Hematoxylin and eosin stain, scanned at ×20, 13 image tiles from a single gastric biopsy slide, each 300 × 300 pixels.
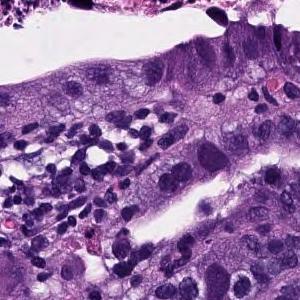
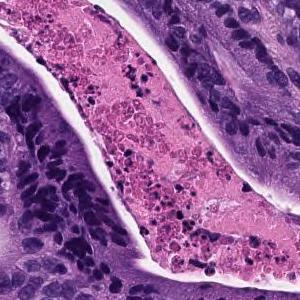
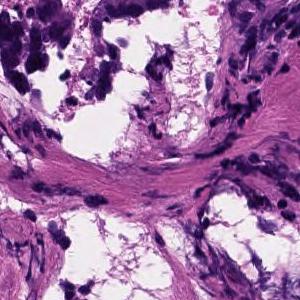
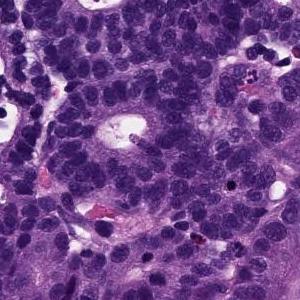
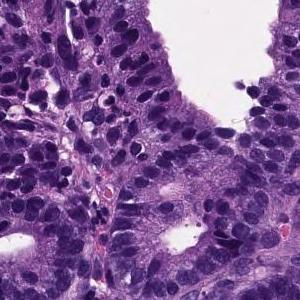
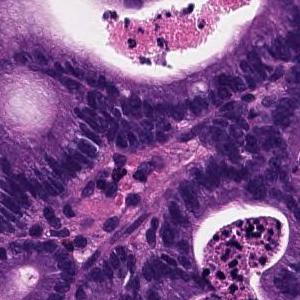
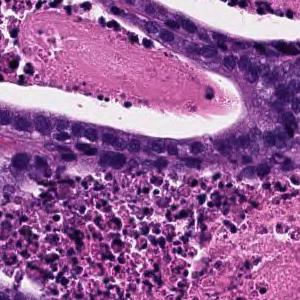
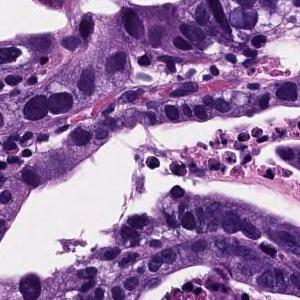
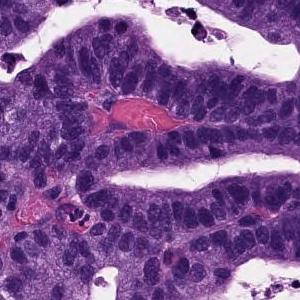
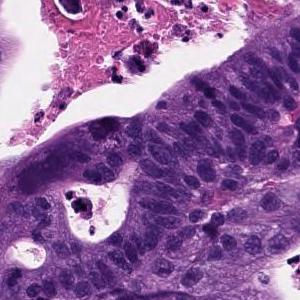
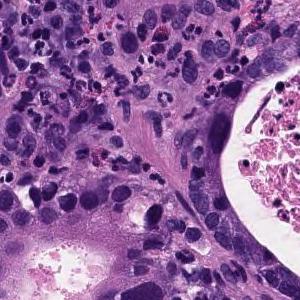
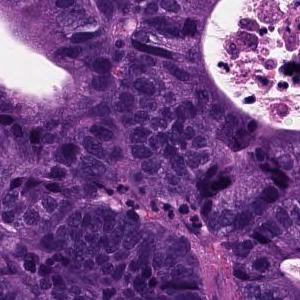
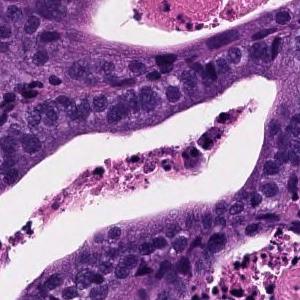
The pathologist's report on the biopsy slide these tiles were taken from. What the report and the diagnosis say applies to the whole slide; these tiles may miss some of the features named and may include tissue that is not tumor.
From the superficial epithelium to the muscularis mucosae, tumor tissue consisting of medium-sized and irregular glandular ducts infiltrating is observed. Well differentiated tubular adenocarcinoma
